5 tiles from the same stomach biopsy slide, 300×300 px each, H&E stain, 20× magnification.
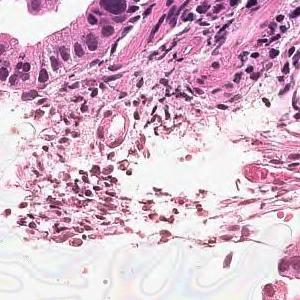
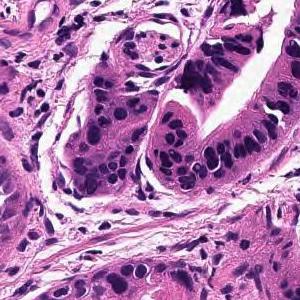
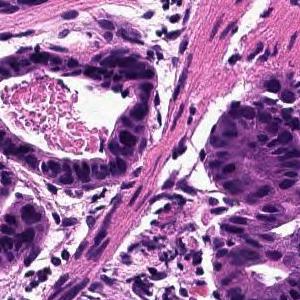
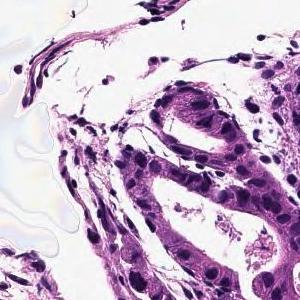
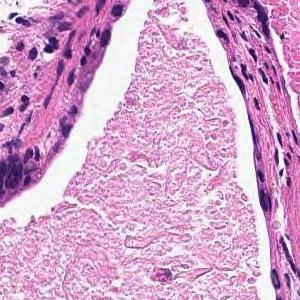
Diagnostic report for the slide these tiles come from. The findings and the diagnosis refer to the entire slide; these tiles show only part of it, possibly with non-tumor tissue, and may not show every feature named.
From the superficial epithelium to the muscularis mucosae, tumor tissue consisting of medium-sized and irregular glandular ducts infiltrating is observed. Well differentiated tubular adenocarcinoma
